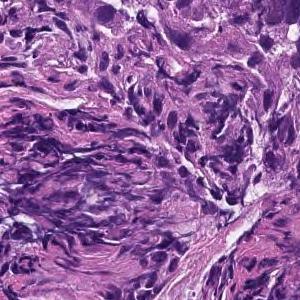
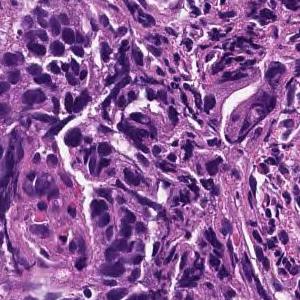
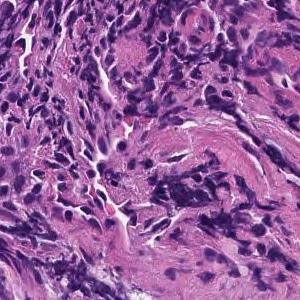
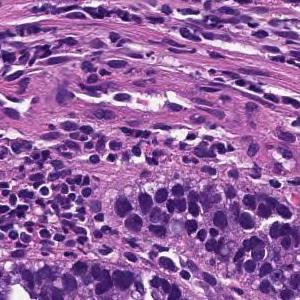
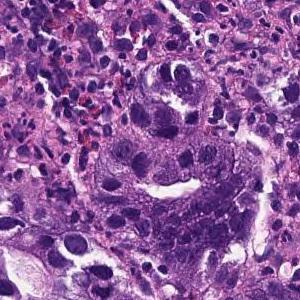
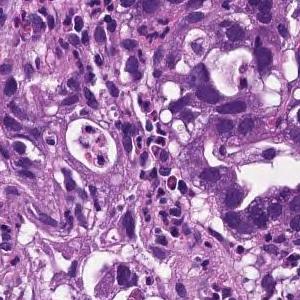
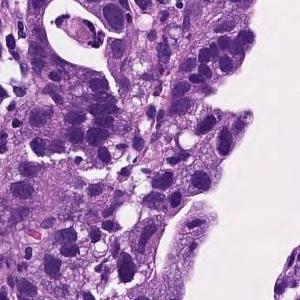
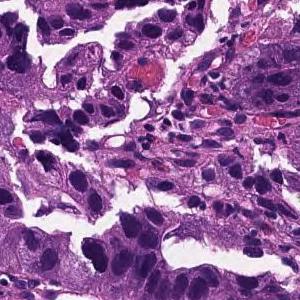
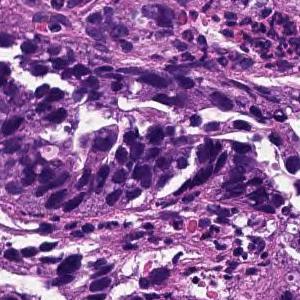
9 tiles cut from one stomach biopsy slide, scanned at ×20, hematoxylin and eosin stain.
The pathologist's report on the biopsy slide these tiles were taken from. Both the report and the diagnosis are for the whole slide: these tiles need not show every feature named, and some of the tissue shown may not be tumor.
Tumor tissue consisting of large papillary structures is found in the superficial epithelium. Papillary adenocarcinoma.
